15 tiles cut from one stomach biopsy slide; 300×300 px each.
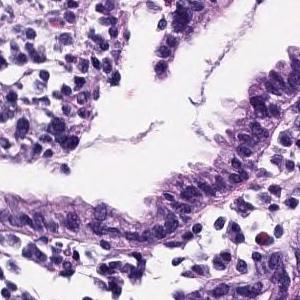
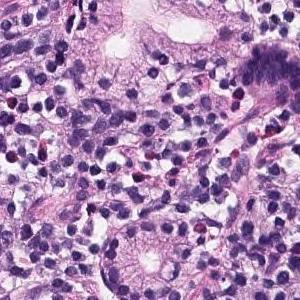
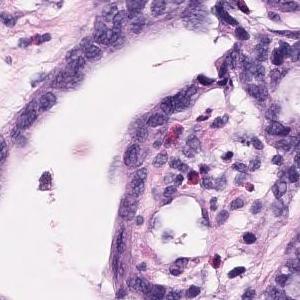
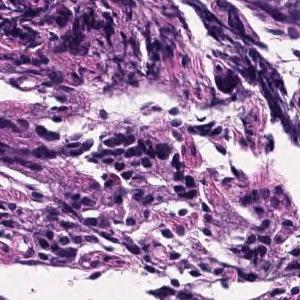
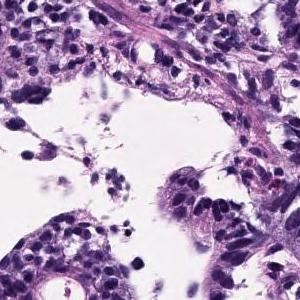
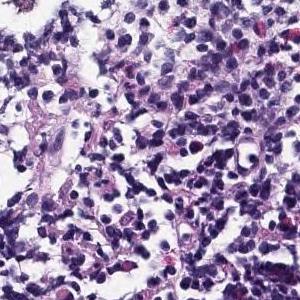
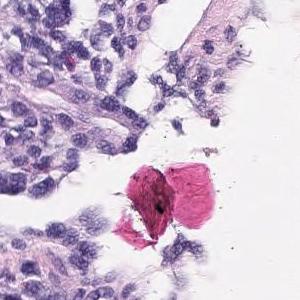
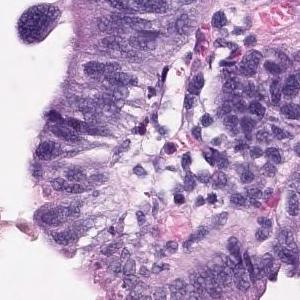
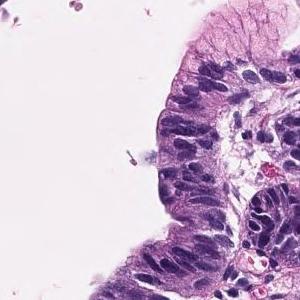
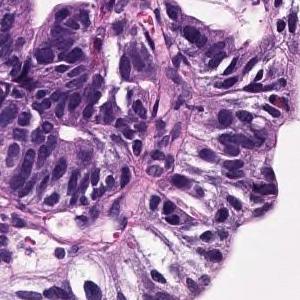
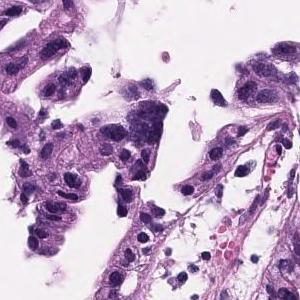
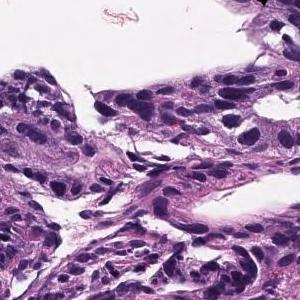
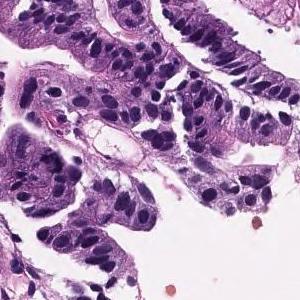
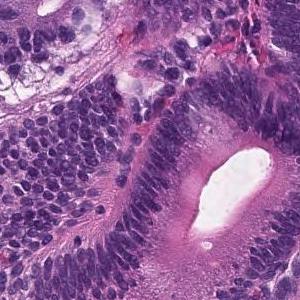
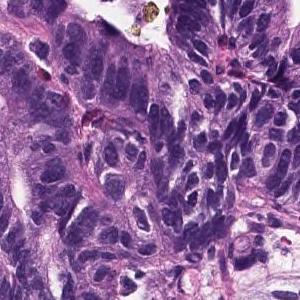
The pathologist's report on the biopsy slide these tiles were taken from. The report and the diagnosis cover the entire slide, so not every feature they name need be visible here, and some tissue shown may not be tumor.
Tumor cells are large, highly columnar, large club-shaped nuclei, and are associated with chromatin aggregation. Papillary adenocarcinoma.
